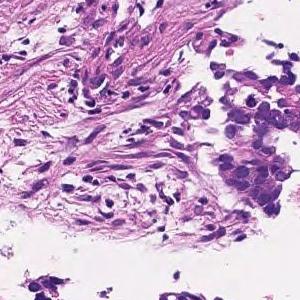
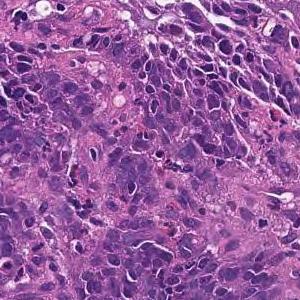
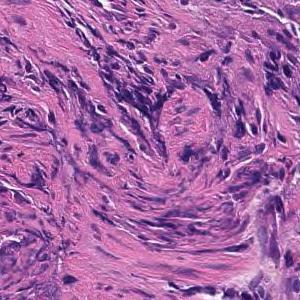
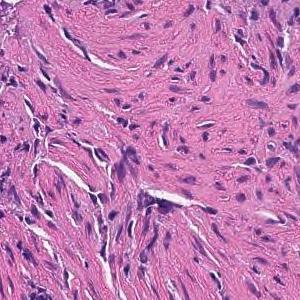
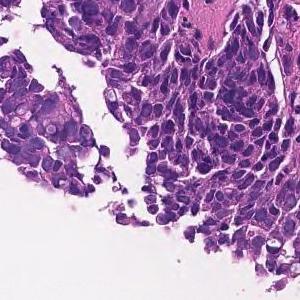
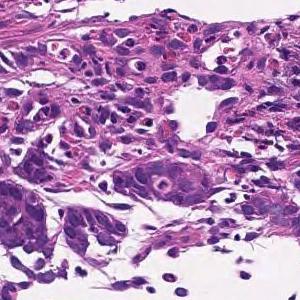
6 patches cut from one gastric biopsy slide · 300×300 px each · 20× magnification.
Pathology report for the slide these tiles were cut from. The report and the diagnosis cover the entire slide, so not every feature they name need be visible here, and some tissue shown may not be tumor.
Tumor tissue consisting of cord-like or small, irregular glandular ducts fused and infiltrated is observed in the superficial epithelium. Poorly differentiated adenocarcinoma, non-solid type
"Non-solid type" is a category of the Japanese Classification of Gastric Carcinoma.
